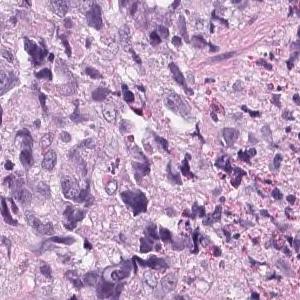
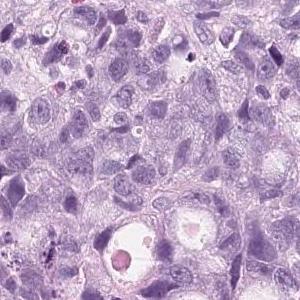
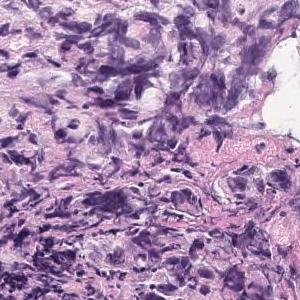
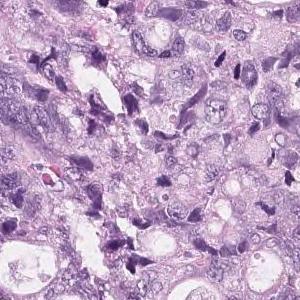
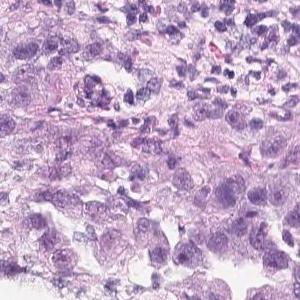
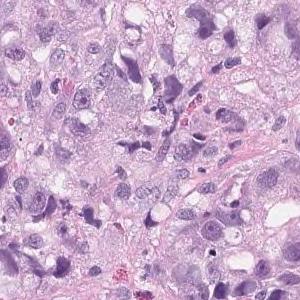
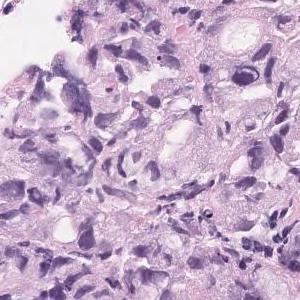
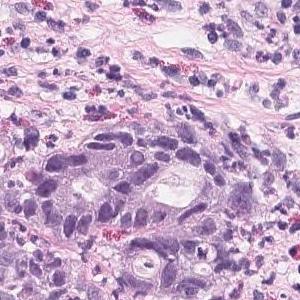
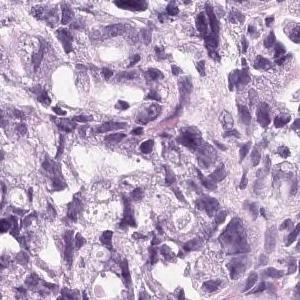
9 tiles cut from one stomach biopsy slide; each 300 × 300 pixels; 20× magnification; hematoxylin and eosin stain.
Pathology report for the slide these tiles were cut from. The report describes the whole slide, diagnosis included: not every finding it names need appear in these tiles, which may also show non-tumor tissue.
Tumor tissue that infiltrates and proliferates by forming small glandular cavities in the superficial layer to the submucosa or forming a mass is observed. moderately differentiated tubular adenocarcinoma
